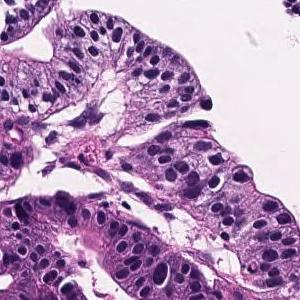
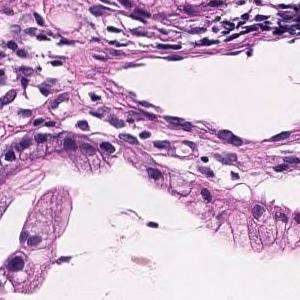
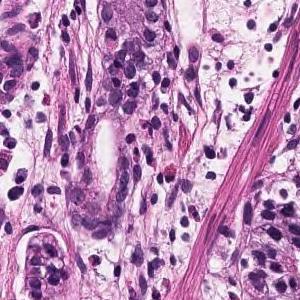
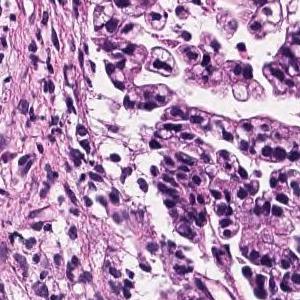
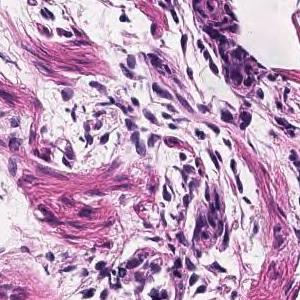
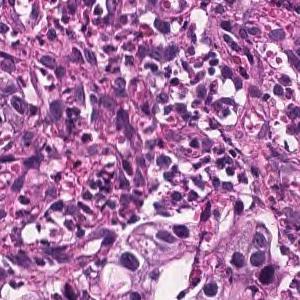
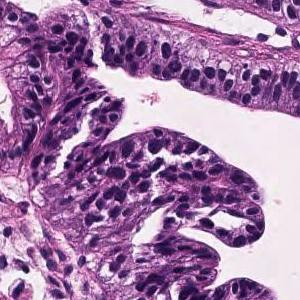
Scanned at ×20 · H&E · 7 image tiles from a single gastric biopsy slide · 300 × 300 pixels each.
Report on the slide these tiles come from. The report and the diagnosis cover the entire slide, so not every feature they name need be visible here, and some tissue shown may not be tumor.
Tumor tissue consisting of large papillary structures or irregular glandular ducts partially fused and infiltrated is observed in the superficial epithelium. Well to moderately differentiated tubular adenocarcinoma.
Dataset label: moderately differentiated tubular adenocarcinoma.
